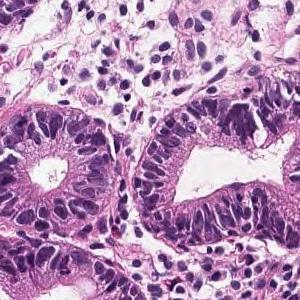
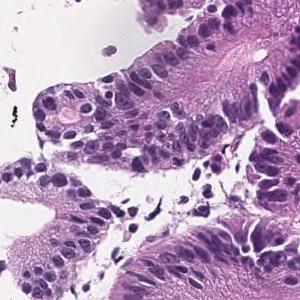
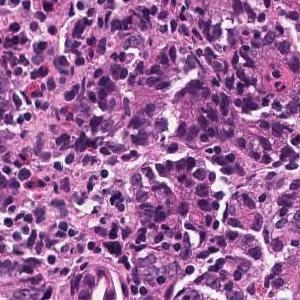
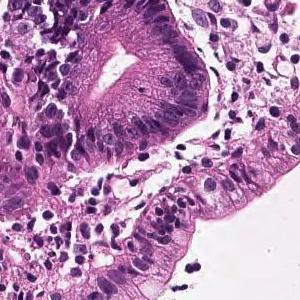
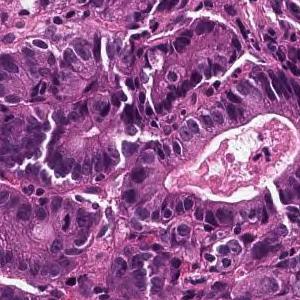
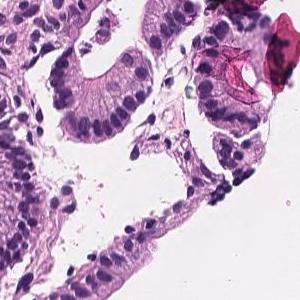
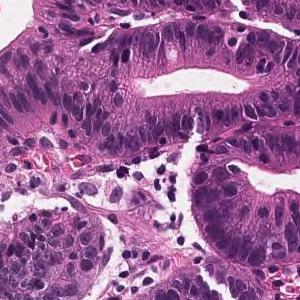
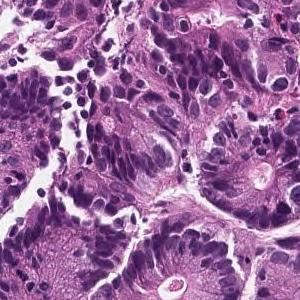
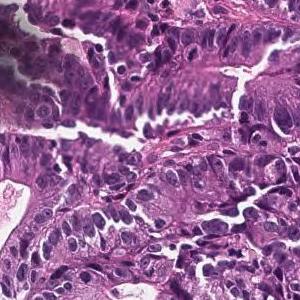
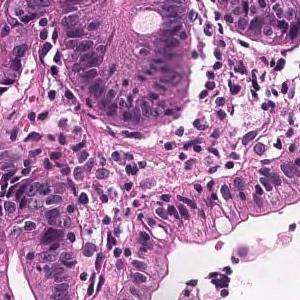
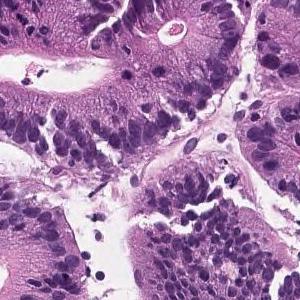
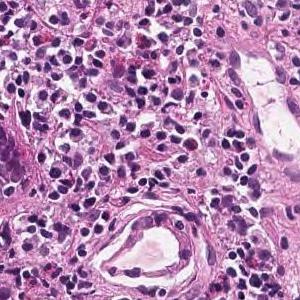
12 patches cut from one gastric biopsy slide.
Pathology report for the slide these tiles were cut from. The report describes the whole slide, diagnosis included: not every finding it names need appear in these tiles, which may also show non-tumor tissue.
In the superficial epithelium, tumor tissue that invades by forming medium-sized to small, irregular ducts is observed. Moderately differentiated adenocarcinoma.
Classified as moderately differentiated tubular adenocarcinoma.
